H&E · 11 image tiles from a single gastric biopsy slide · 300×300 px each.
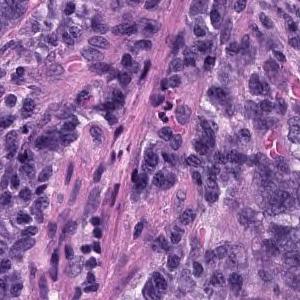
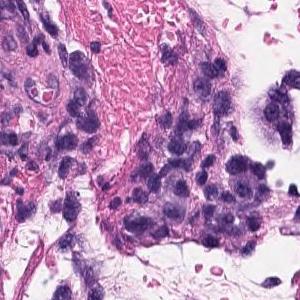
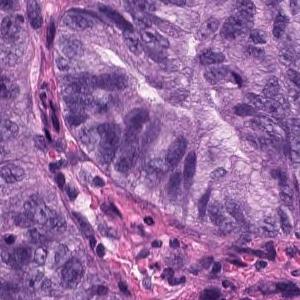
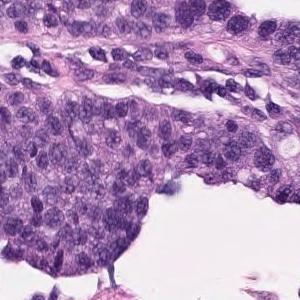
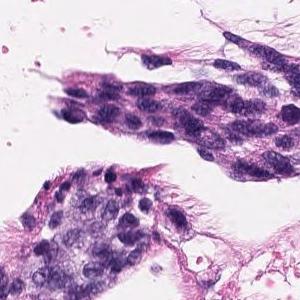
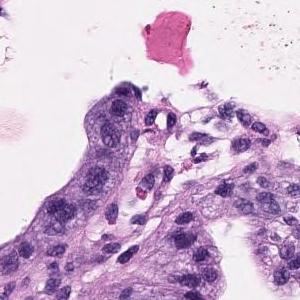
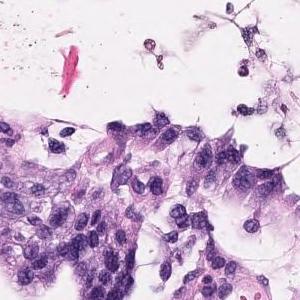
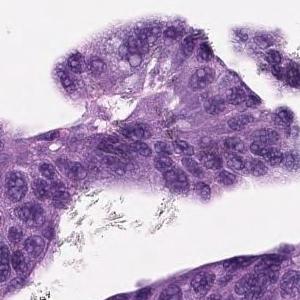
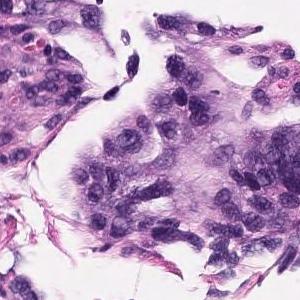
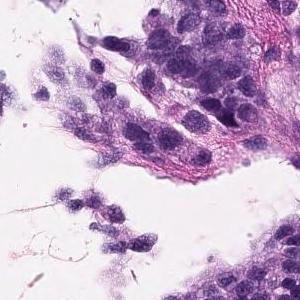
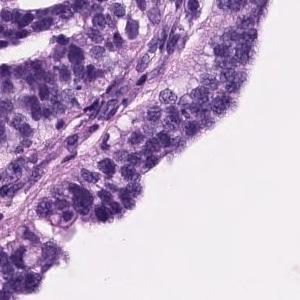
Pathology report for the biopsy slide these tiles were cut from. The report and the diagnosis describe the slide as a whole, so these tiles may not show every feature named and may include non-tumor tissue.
Tumor cells are large, highly columnar, large club-shaped nuclei, and are associated with chromatin aggregation. Papillary adenocarcinoma.
